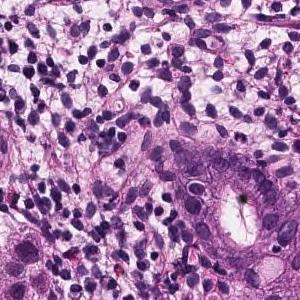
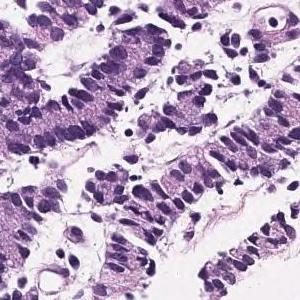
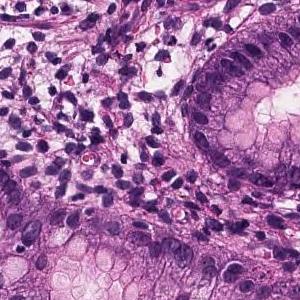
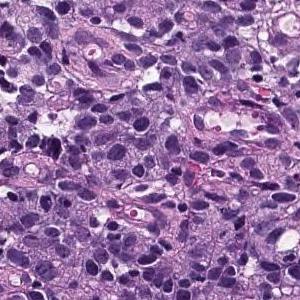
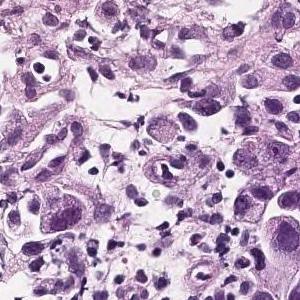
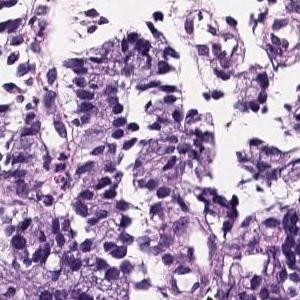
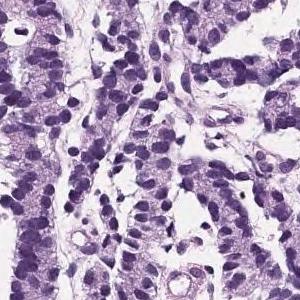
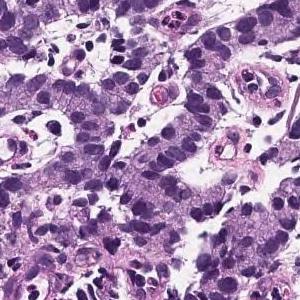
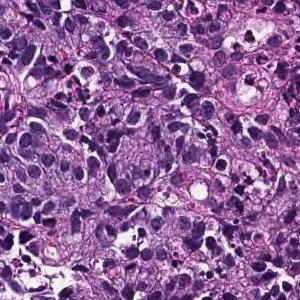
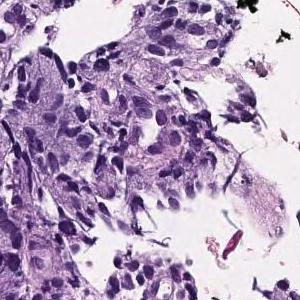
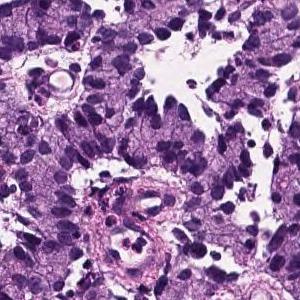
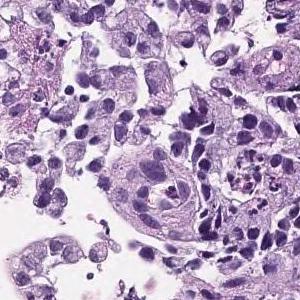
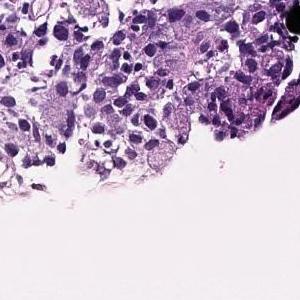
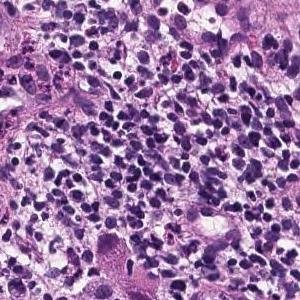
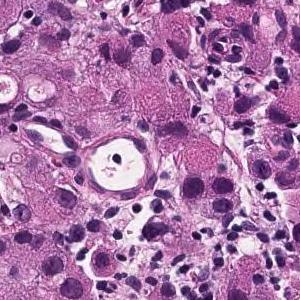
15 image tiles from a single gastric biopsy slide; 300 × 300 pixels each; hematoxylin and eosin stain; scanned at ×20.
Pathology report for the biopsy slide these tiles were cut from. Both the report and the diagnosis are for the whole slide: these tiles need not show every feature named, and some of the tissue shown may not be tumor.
Tumor tissue infiltrated by irregular fusion of small cord-like structures is found in the superficial epithelium. Poorly differentiated adenocarcinoma, non-solid type
"Non-solid type" is a category of the Japanese Classification of Gastric Carcinoma.
